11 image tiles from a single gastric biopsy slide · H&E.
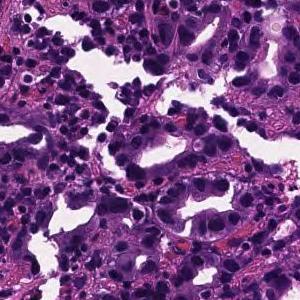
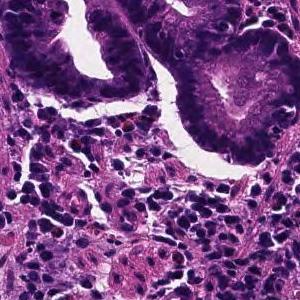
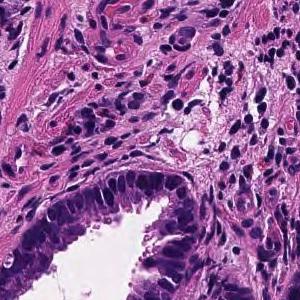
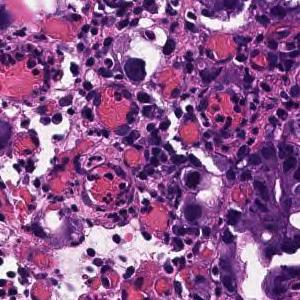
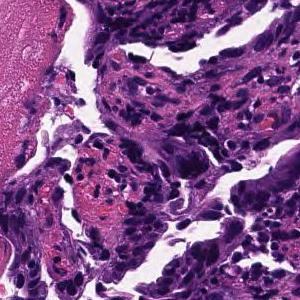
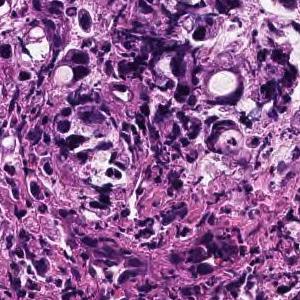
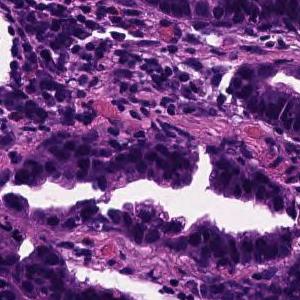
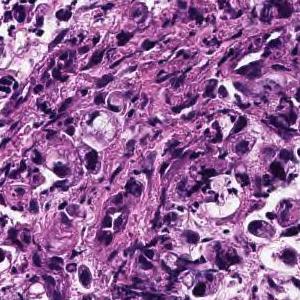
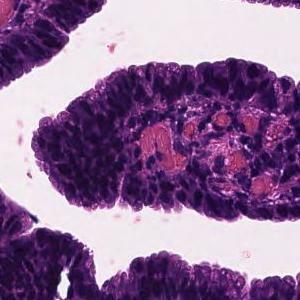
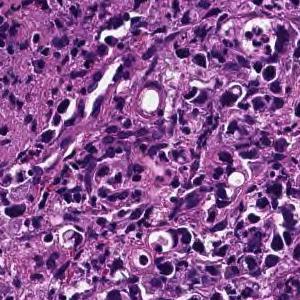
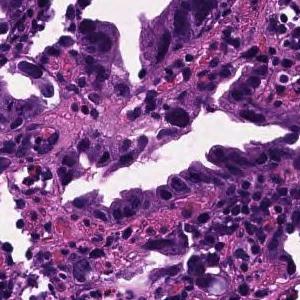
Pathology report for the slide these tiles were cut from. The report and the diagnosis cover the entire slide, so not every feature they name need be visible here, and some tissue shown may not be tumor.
On the superficial epithelium, tumor tissue that infiltrates by forming medium-sized papillary or small irregular ducts is observed. Papillary adenocarcinoma
